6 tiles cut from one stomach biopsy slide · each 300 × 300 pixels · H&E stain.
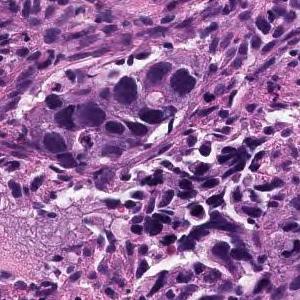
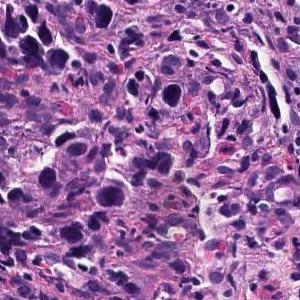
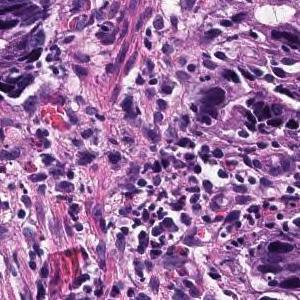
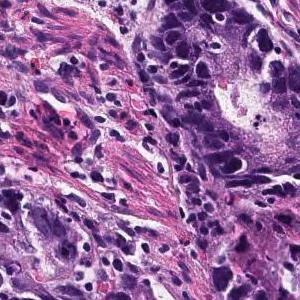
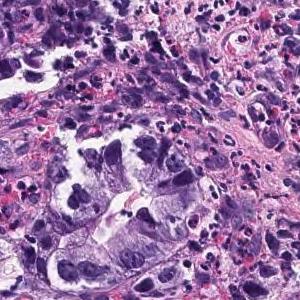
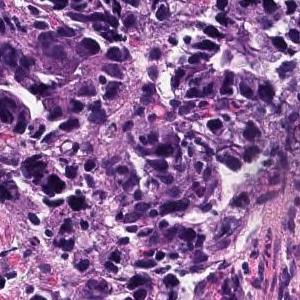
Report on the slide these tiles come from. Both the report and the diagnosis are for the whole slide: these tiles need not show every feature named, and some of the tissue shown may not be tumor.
In the superficial epithelium, tumor tissue that invades by forming medium-sized to small, irregular ducts is observed. Tumor cells are columnar or cuboidal in shape. Moderately differentiated adenocarcinoma.
Histological subtype: Moderately differentiated tubular adenocarcinoma.
